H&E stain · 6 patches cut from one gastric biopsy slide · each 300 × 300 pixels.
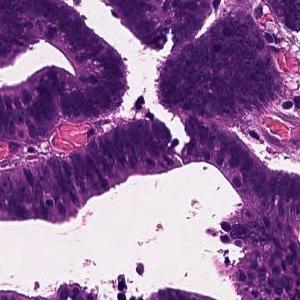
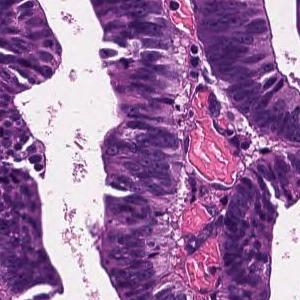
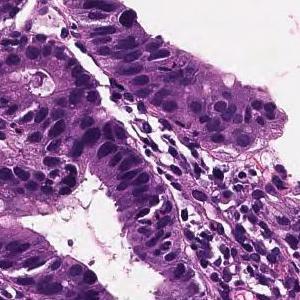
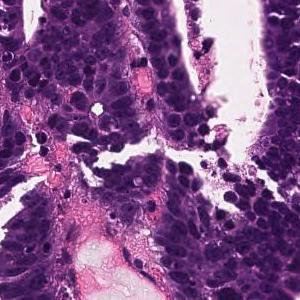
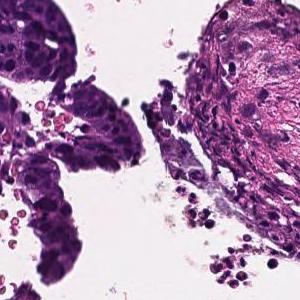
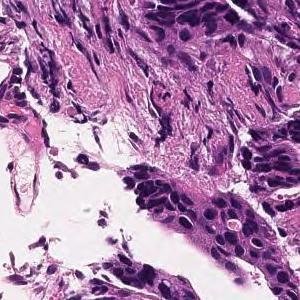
Report on the slide these tiles come from. What the report and the diagnosis say applies to the whole slide; these tiles may miss some of the features named and may include tissue that is not tumor.
Tumor tissue consisting of large papillary structures is found in the superficial epithelium. Papillary adenocarcinoma.
